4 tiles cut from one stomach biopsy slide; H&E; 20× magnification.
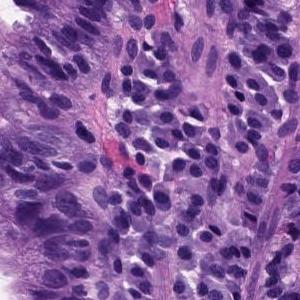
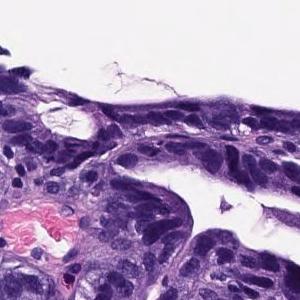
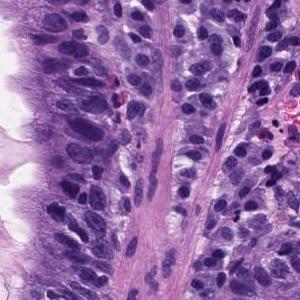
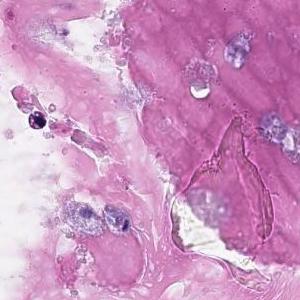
The pathologist's report on the biopsy slide these tiles were taken from. What the report and the diagnosis say applies to the whole slide; these tiles may miss some of the features named and may include tissue that is not tumor.
There are atypical l cells with atypical nuclei forming irregular glandular ducts and growing in a complex manner. Well differentiated tubular adenocarcinoma
